9 image tiles from a single gastric biopsy slide; each 300 × 300 pixels; scanned at ×20; H&E.
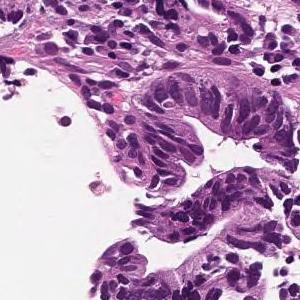
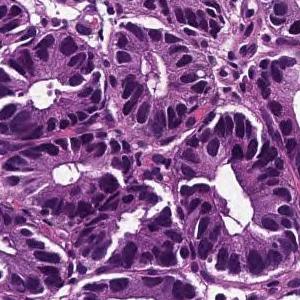
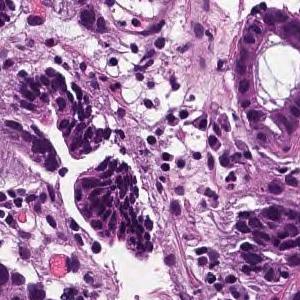
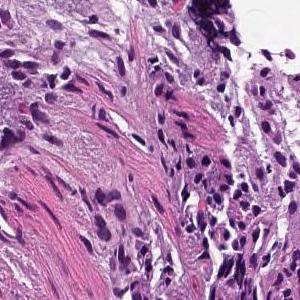
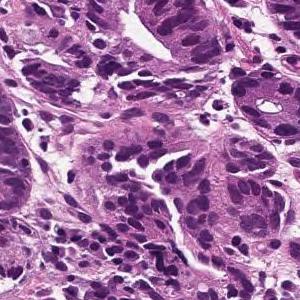
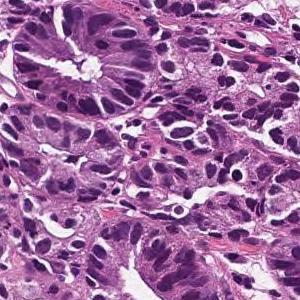
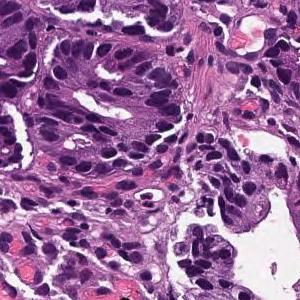
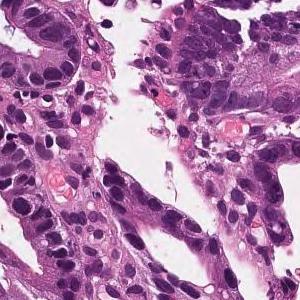
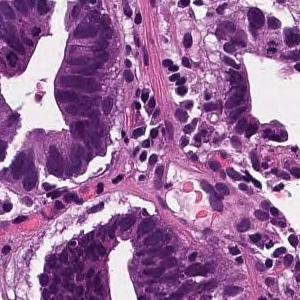
Diagnostic report for the slide these tiles come from. Both the report and the diagnosis are for the whole slide: these tiles need not show every feature named, and some of the tissue shown may not be tumor.
From the superficial epithelium to the muscularis mucosae, tumor tissue consisting of medium-sized and irregular glandular ducts infiltrating is observed. Well differentiated tubular adenocarcinoma
